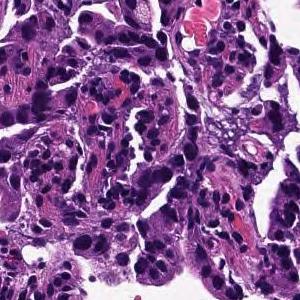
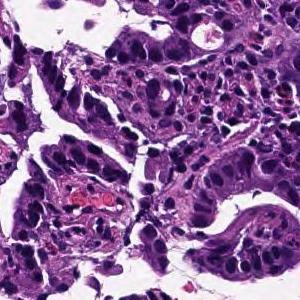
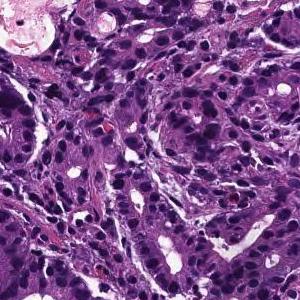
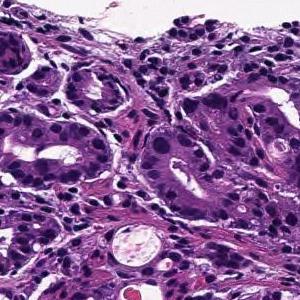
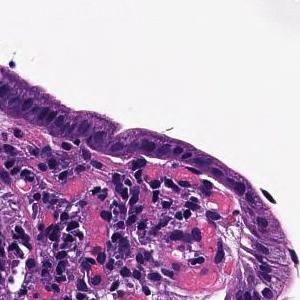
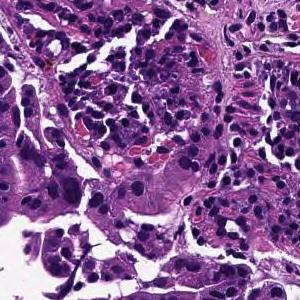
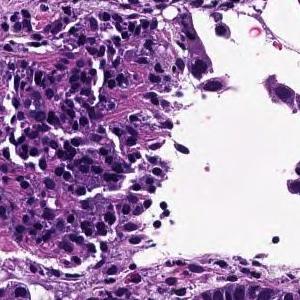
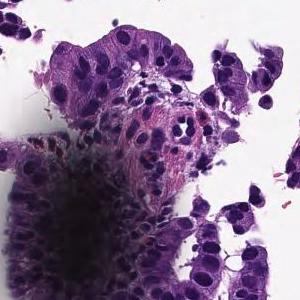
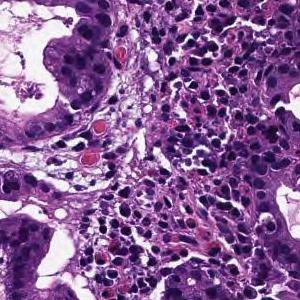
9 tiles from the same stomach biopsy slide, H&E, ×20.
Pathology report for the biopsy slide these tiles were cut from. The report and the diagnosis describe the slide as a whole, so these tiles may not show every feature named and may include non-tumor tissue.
From the superficial epithelium to the muscularis mucosae, tumor tissue consisting of medium-sized and irregular glandular ducts infiltrating is observed. Well differentiated tubular adenocarcinoma
